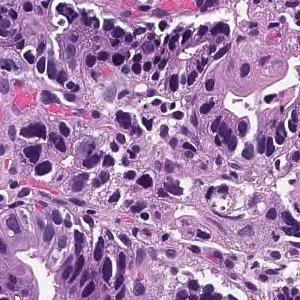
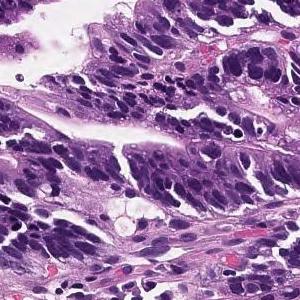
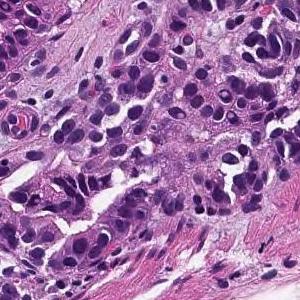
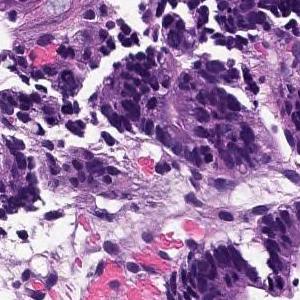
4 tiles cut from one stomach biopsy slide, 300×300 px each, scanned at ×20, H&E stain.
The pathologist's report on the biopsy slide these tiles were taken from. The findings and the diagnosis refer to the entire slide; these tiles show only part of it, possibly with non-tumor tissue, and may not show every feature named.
From the superficial epithelium to the muscularis mucosae, tumor tissue consisting of medium-sized and irregular glandular ducts infiltrating is observed. Well differentiated tubular adenocarcinoma
